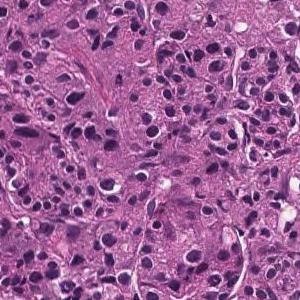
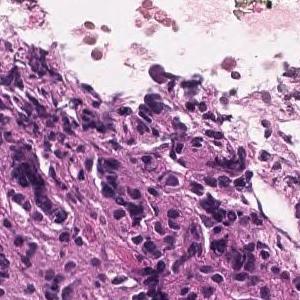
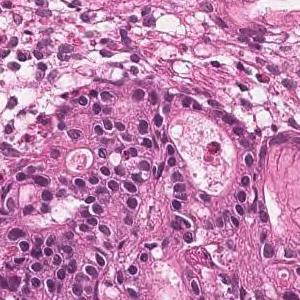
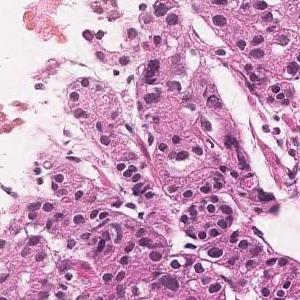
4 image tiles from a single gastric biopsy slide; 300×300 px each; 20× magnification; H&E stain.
Pathology report for the biopsy slide these tiles were cut from. What the report and the diagnosis say applies to the whole slide; these tiles may miss some of the features named and may include tissue that is not tumor.
In the superficial epithelium, tumor tissue that invades by forming medium-sized to small, irregular ducts is observed. Moderately differentiated adenocarcinoma.
Histologic type: Moderately differentiated tubular adenocarcinoma.
